13 tiles from the same stomach biopsy slide · 300 × 300 pixels each · hematoxylin and eosin stain.
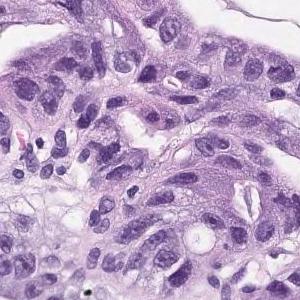
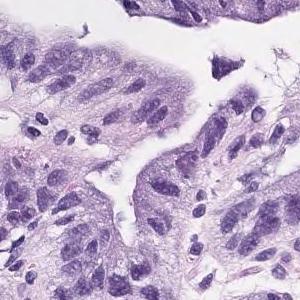
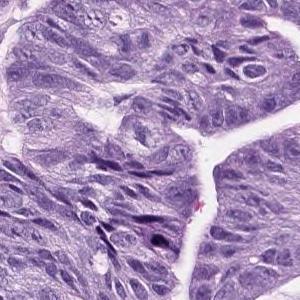
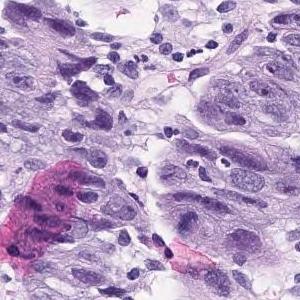
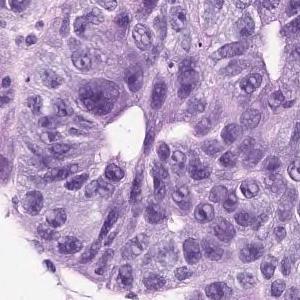
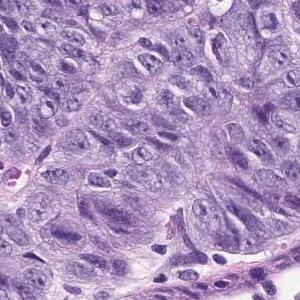
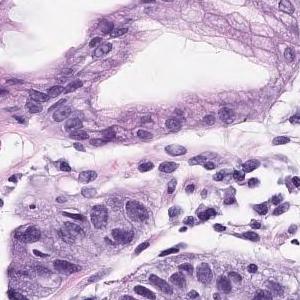
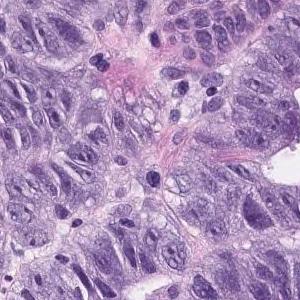
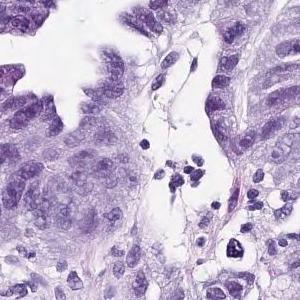
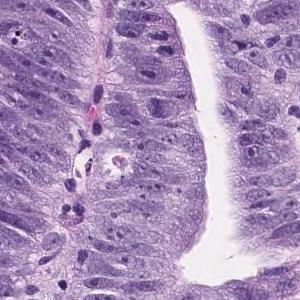
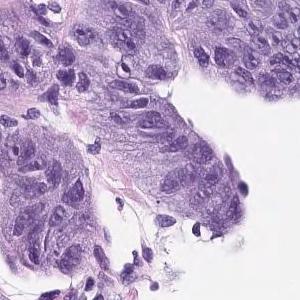
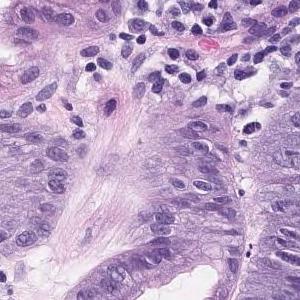
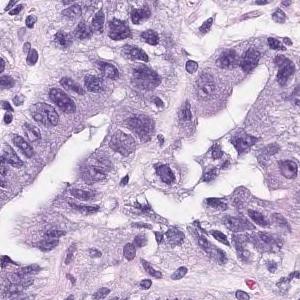
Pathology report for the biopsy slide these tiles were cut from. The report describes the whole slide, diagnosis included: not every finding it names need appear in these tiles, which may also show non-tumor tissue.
In the superficial epithelium, tumor tissue that invades by forming medium-sized to small, irregular ducts is observed. Moderately differentiated adenocarcinoma.
Tumor subtype: moderately differentiated tubular adenocarcinoma.
